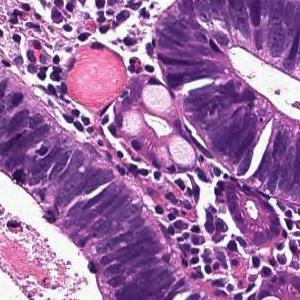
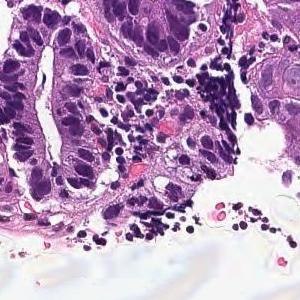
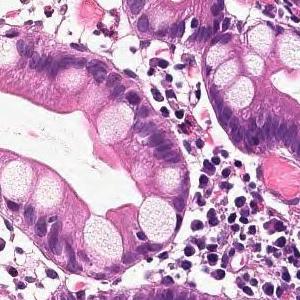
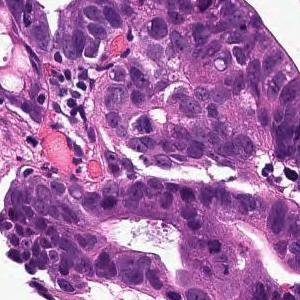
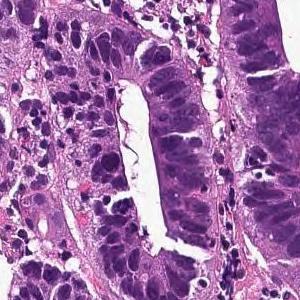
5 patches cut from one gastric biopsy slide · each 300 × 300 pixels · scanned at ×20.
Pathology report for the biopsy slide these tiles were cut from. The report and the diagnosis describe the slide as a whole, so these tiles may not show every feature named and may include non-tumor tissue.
Tumor cells are large, highly columnar, large club-shaped nuclei, and are associated with chromatin aggregation. Papillary adenocarcinoma.
